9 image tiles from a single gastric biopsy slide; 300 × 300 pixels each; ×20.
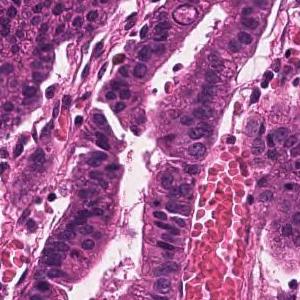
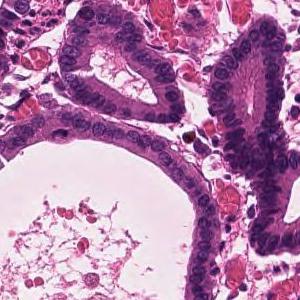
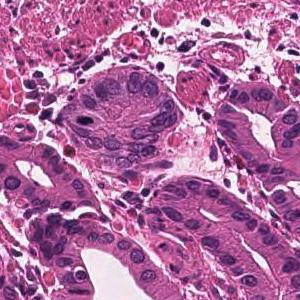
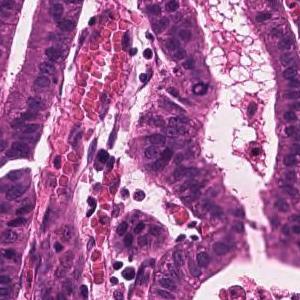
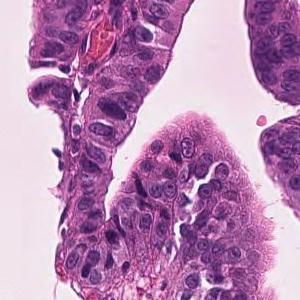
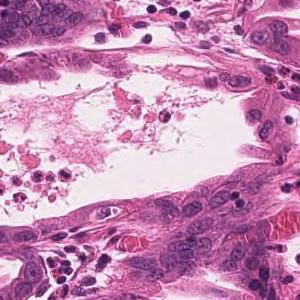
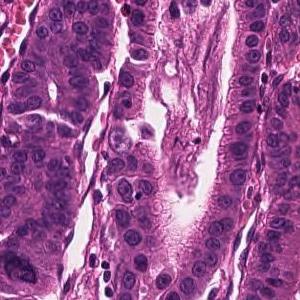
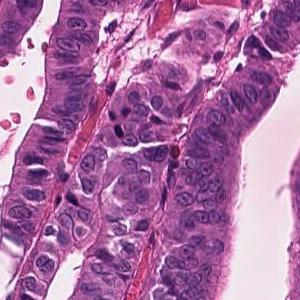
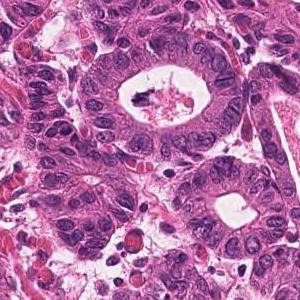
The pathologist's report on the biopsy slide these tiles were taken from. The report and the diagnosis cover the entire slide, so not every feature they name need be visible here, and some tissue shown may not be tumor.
Infiltrating tumor tissue with medium-sized, irregular ductal structure or large papillary appearance is observed. Well differentiated tubular adenocarcinoma
